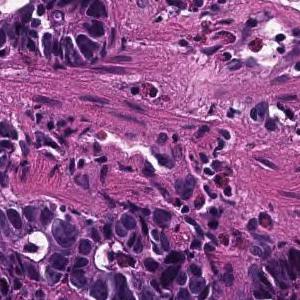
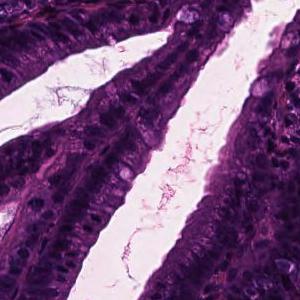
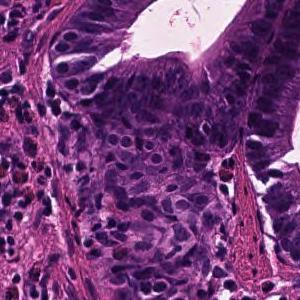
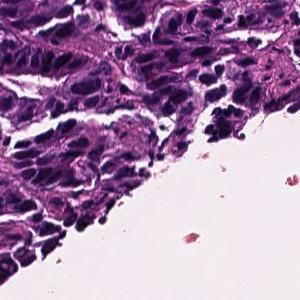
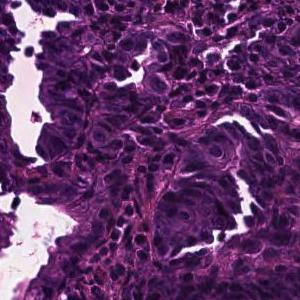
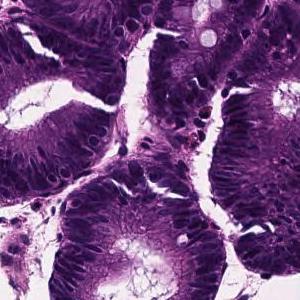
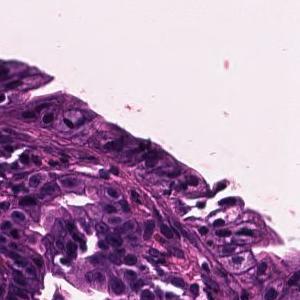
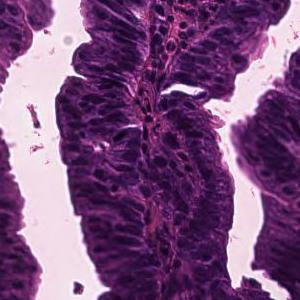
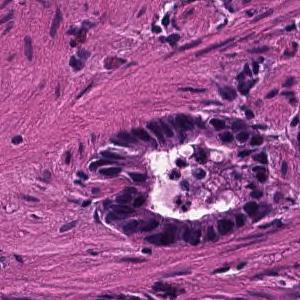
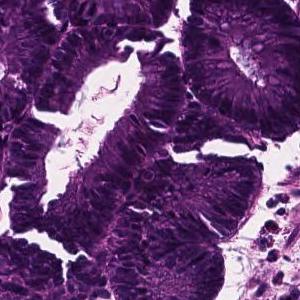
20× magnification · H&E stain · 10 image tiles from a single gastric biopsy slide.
Report on the slide these tiles come from. The findings and the diagnosis refer to the entire slide; these tiles show only part of it, possibly with non-tumor tissue, and may not show every feature named.
In the superficial epithelium, tumor tissue that invades by forming medium-sized to small, irregular ducts is observed. moderately differentiated tubular adenocarcinoma.
